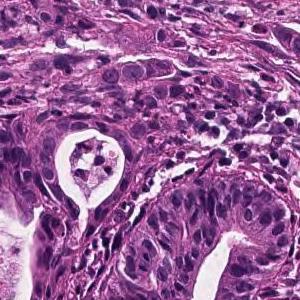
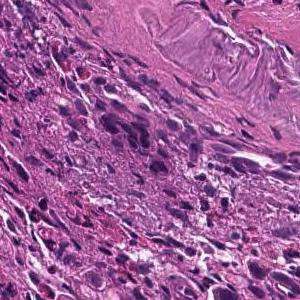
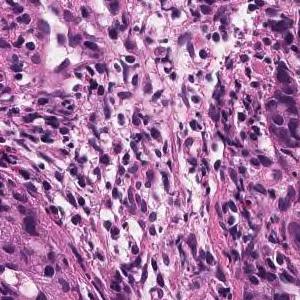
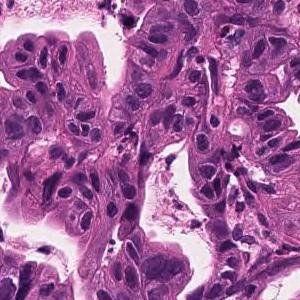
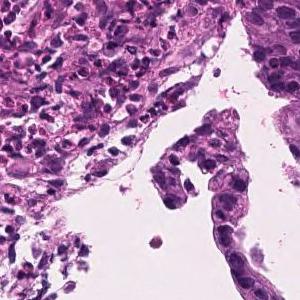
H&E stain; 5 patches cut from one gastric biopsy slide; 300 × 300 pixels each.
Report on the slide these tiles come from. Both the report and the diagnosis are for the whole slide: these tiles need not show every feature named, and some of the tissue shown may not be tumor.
Tumor tissue consisting of medium-sized, cord-like or irregular glandular infiltration is observed in the superficial epithelium. Poorly differentiated adenocarcinoma, non-solid type or moderately differentiated tubular adenocarcinoma
"Non-solid type" is a category of the Japanese Classification of Gastric Carcinoma.
